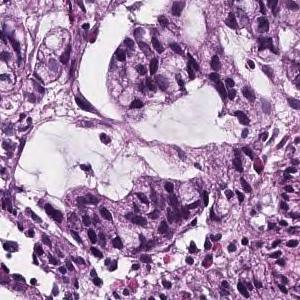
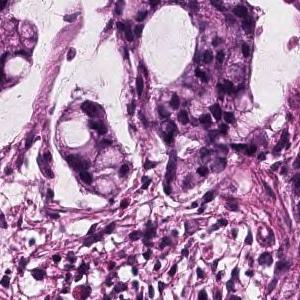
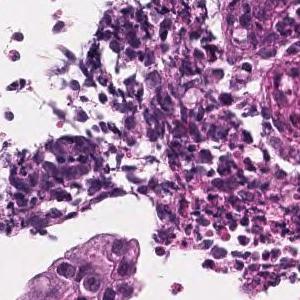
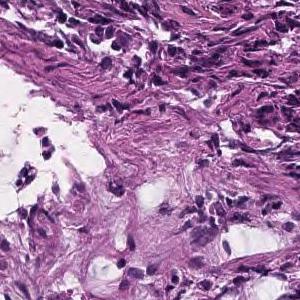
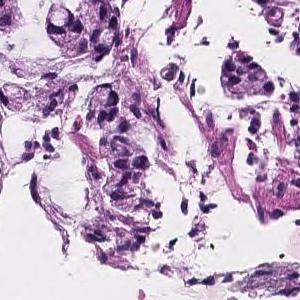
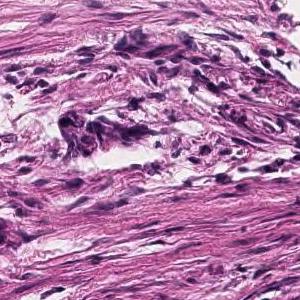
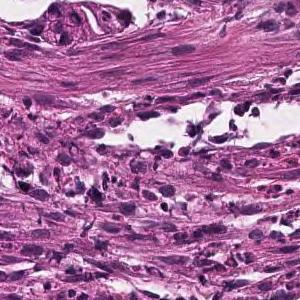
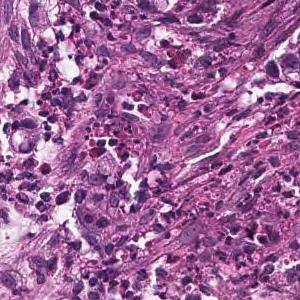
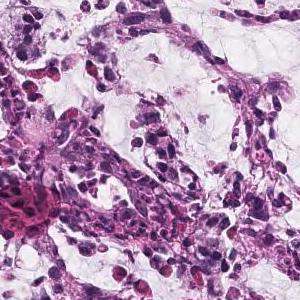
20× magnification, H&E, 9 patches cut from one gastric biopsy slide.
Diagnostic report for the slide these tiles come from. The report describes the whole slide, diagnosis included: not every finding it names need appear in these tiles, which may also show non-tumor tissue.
Atypical epithelial cells form obscure ductal structures or small solid follicles, and tumor tissue that proliferates invasively with proliferation of inflammatory granulation tissue is observed. Mucinous adenocarcinoma .
